16 patches cut from one gastric biopsy slide · each 300 × 300 pixels · ×20 · hematoxylin and eosin stain.
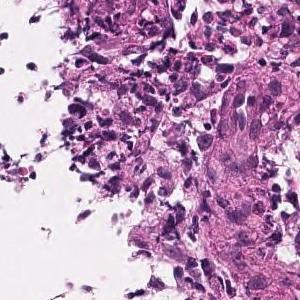
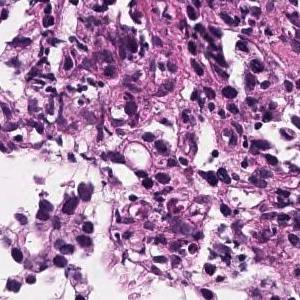
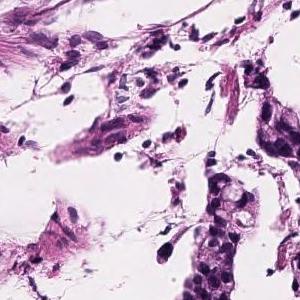
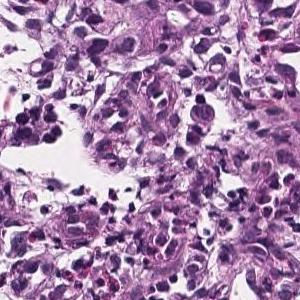
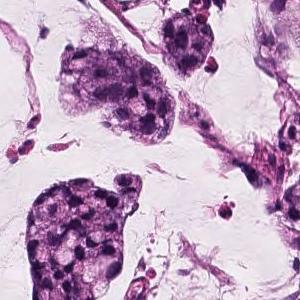
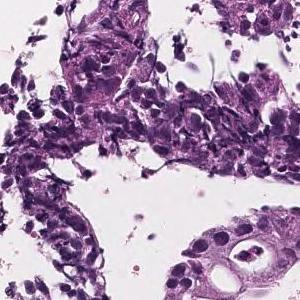
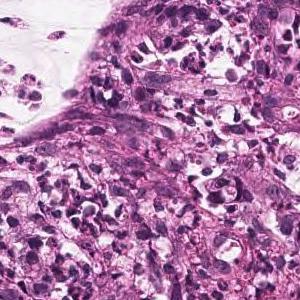
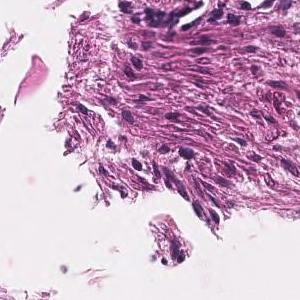
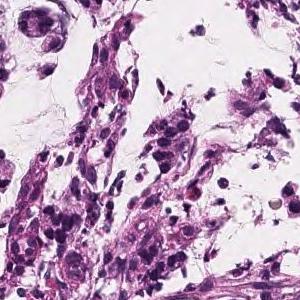
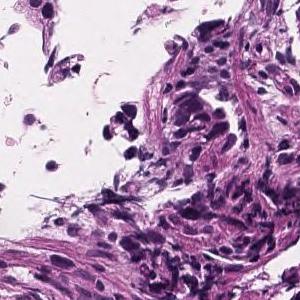
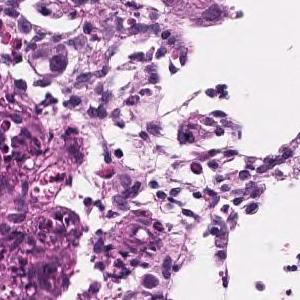
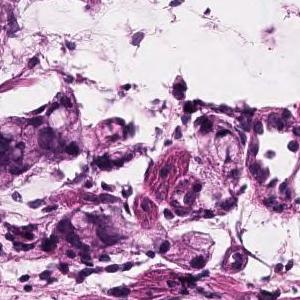
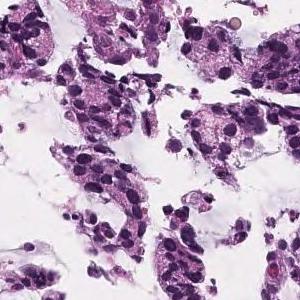
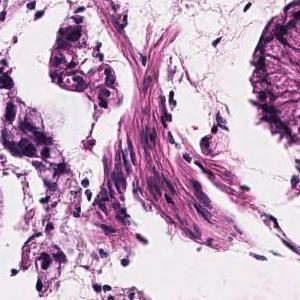
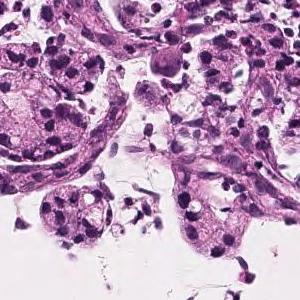
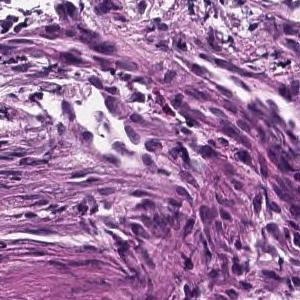
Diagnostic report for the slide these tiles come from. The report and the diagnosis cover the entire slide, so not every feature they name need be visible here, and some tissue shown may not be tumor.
Atypical epithelial cells form obscure ductal structures or small solid follicles, and tumor tissue that proliferates invasively with proliferation of inflammatory granulation tissue is observed. Mucinous adenocarcinoma .
